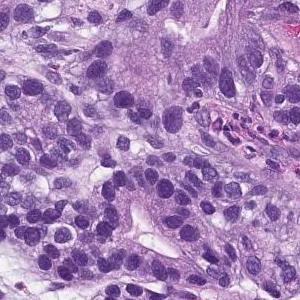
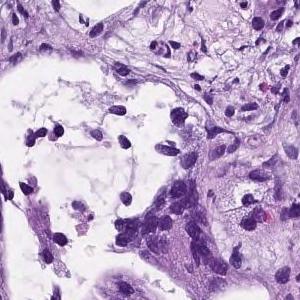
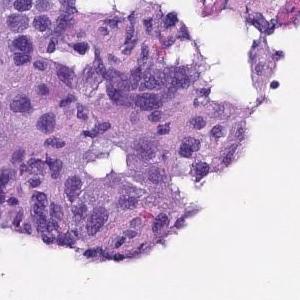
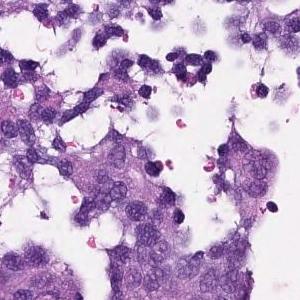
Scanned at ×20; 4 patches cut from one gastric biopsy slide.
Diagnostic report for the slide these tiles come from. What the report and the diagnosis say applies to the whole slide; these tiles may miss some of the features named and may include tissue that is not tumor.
From the superficial epithelium to the muscularis mucosae, tumor tissue consisting of medium-sized and irregular glandular ducts infiltrating is observed. Well differentiated tubular adenocarcinoma
